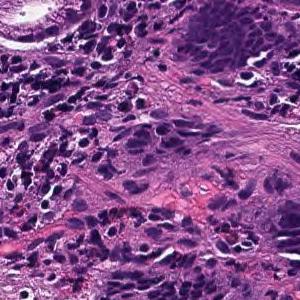
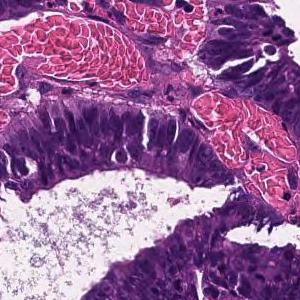
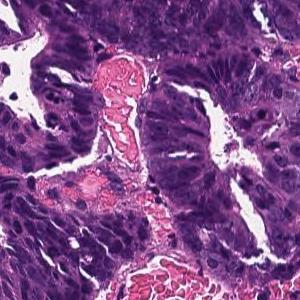
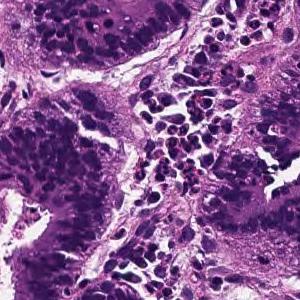
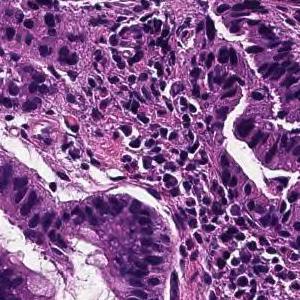
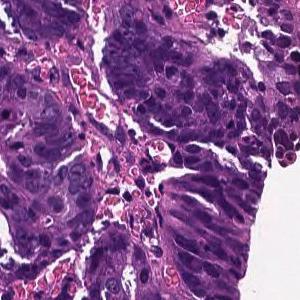
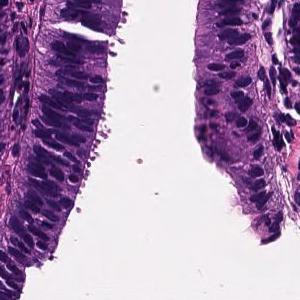
Scanned at ×20; 7 tiles from the same stomach biopsy slide; 300 × 300 pixels each.
The pathologist's report on the biopsy slide these tiles were taken from. The report describes the whole slide, diagnosis included: not every finding it names need appear in these tiles, which may also show non-tumor tissue.
Tumor tissue consisting of large papillary structures is found in the superficial epithelium. Papillary adenocarcinoma.
